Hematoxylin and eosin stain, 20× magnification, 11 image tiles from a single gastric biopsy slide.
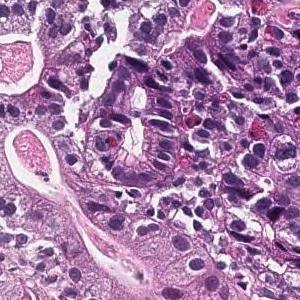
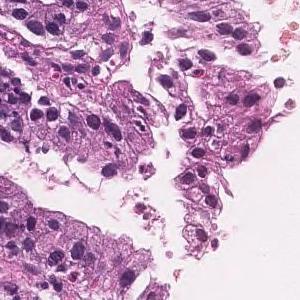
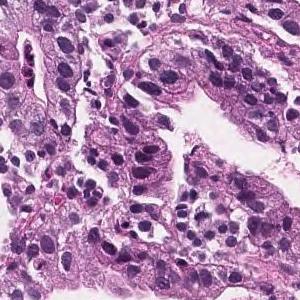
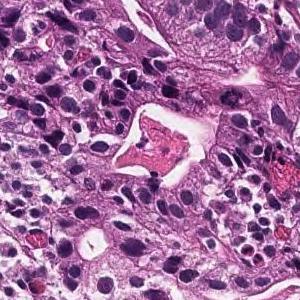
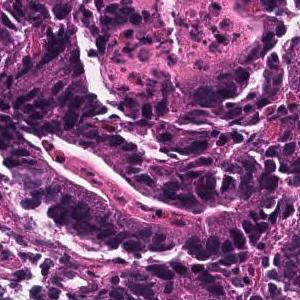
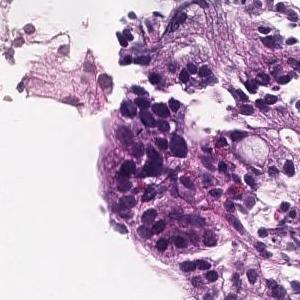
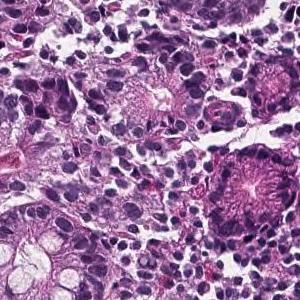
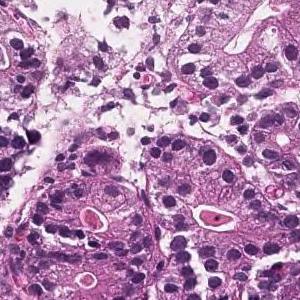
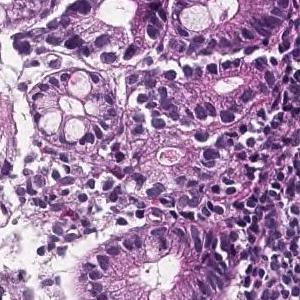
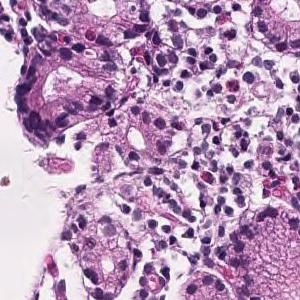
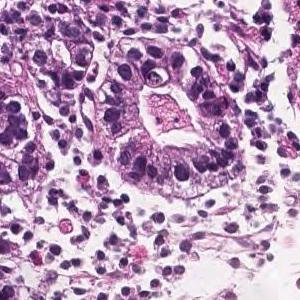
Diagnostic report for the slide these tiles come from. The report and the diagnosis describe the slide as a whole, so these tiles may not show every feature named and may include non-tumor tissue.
Tumor tissue that forms medium-sized, irregular glandular ducts and is papillary and proliferate is observed confined to the mucosal epithelium. moderately differentiated tubular adenocarcinoma.
